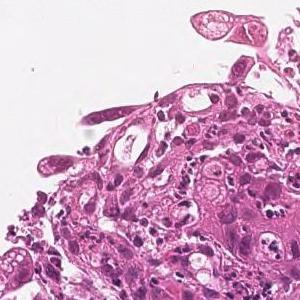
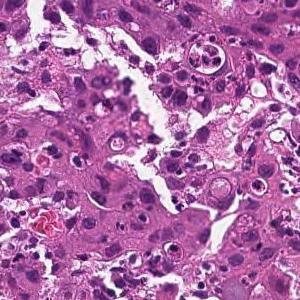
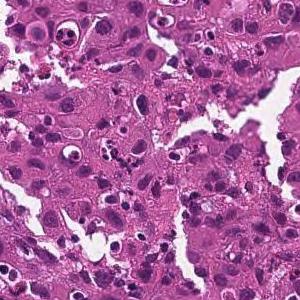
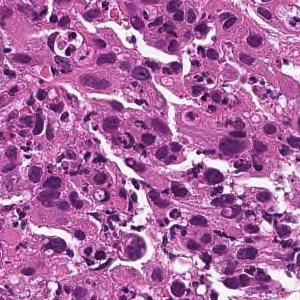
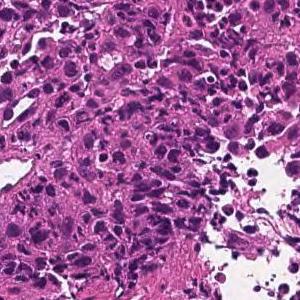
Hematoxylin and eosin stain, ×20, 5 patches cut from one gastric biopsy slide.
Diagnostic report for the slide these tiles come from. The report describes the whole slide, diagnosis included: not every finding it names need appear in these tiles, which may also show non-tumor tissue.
The superficial epithelium shows a large sheet-like shape, and some tumor tissue infiltrates with small irregular ducts. Poorly differentiated adenocarcinoma, solid-type
Tumor subtype: poorly differentiated adenocarcinoma, solid type. This name comes from the Japanese Classification of Gastric Carcinoma; the WHO 2019 classification calls it tubular adenocarcinoma, poorly differentiated.
